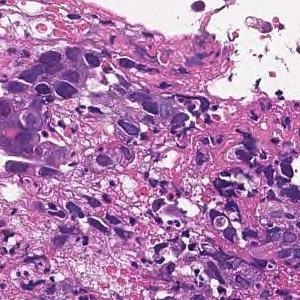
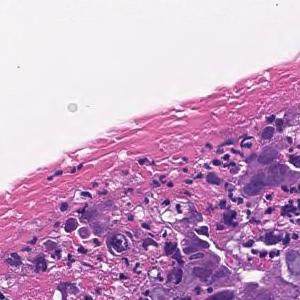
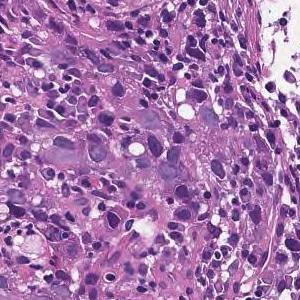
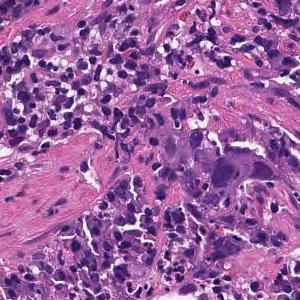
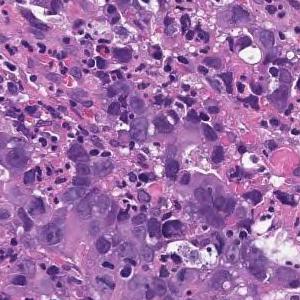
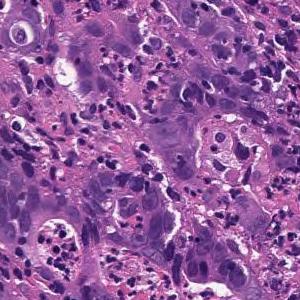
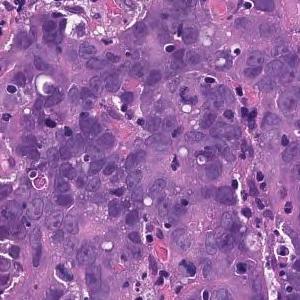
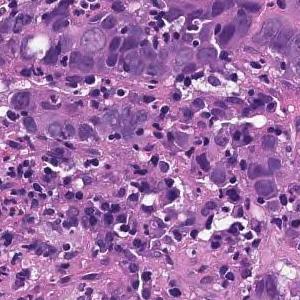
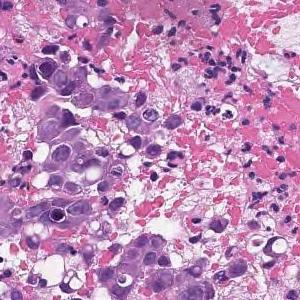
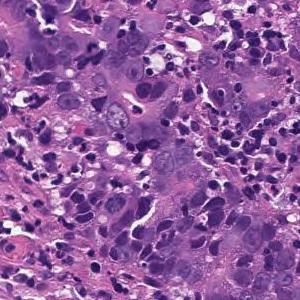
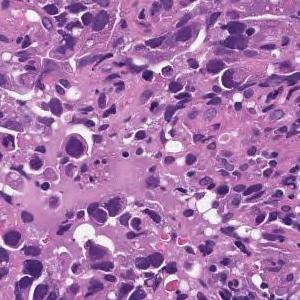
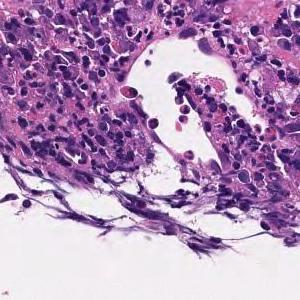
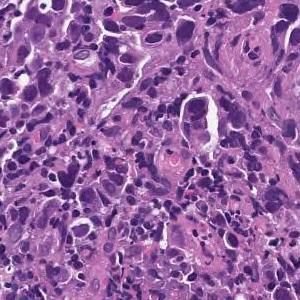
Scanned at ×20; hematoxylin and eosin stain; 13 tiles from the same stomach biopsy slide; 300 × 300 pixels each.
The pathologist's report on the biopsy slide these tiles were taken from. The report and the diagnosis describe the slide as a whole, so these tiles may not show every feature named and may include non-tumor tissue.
Tumor tissue consisting of cord-like or small, irregular glandular ducts fused and infiltrated is observed in the superficial epithelium. Poorly differentiated adenocarcinoma, non-solid type
The term "non-solid type" comes from the Japanese Classification of Gastric Carcinoma.
